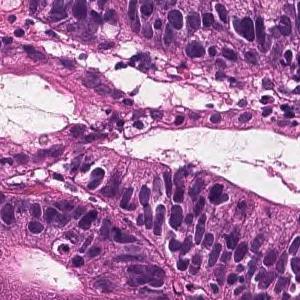
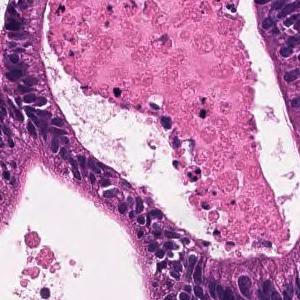
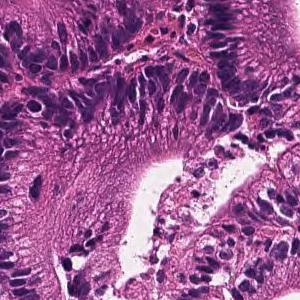
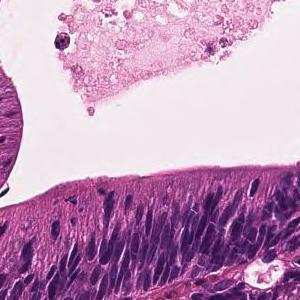
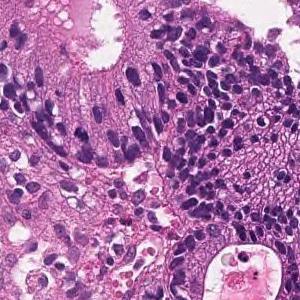
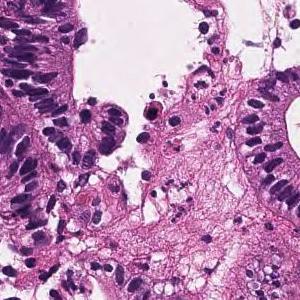
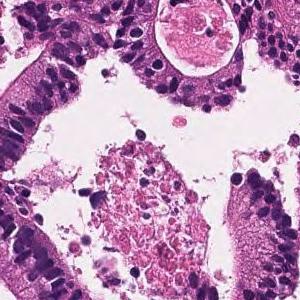
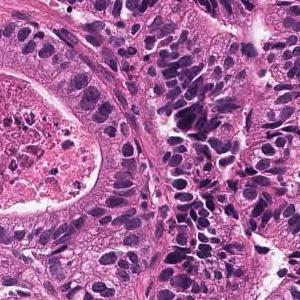
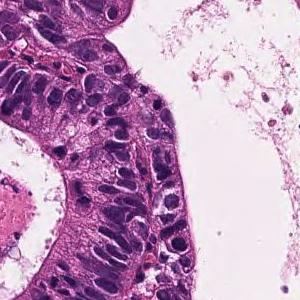
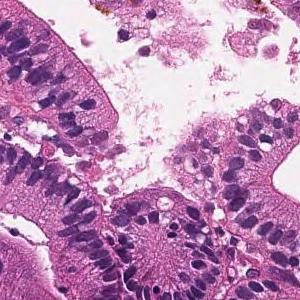
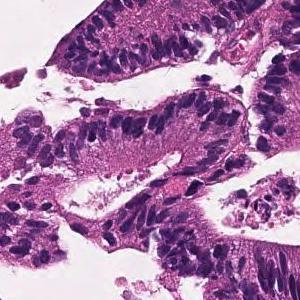
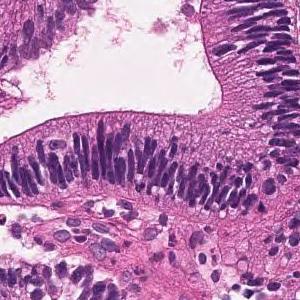
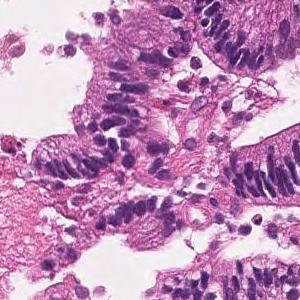
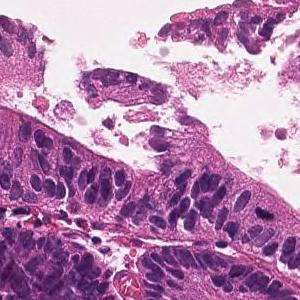
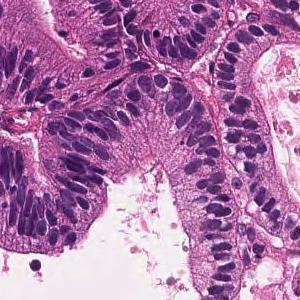
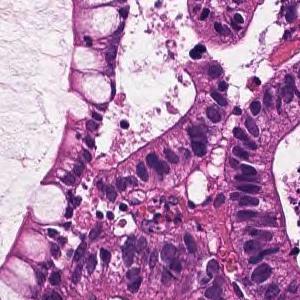
Hematoxylin and eosin stain · 16 tiles from the same stomach biopsy slide · 300 × 300 pixels each.
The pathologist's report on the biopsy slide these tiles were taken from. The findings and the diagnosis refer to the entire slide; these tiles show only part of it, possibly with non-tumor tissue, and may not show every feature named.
From the superficial epithelium to the muscularis mucosae, tumor tissue infiltrating by forming medium-sized irregular gland ducts is observed. Large tumor cells exhibit large nucleus and hyperchromatism. Well differentiated tubular adenocarcinoma
